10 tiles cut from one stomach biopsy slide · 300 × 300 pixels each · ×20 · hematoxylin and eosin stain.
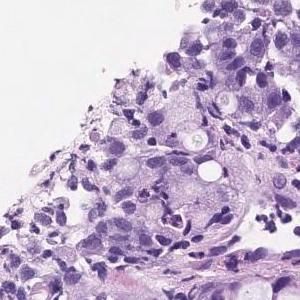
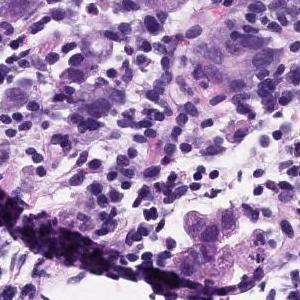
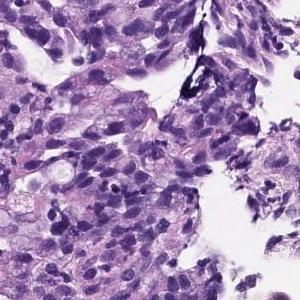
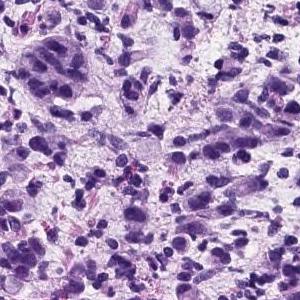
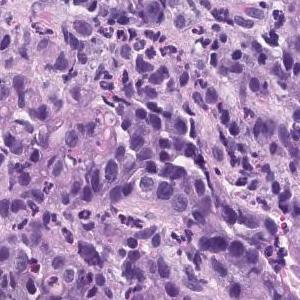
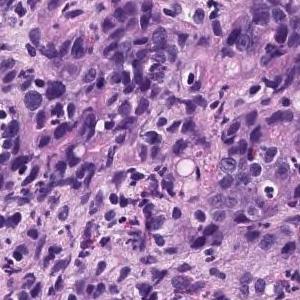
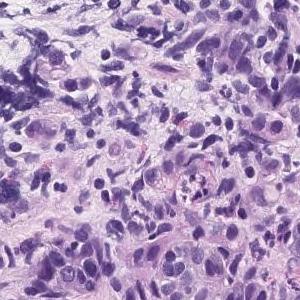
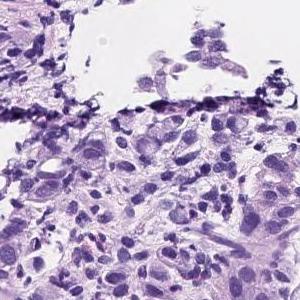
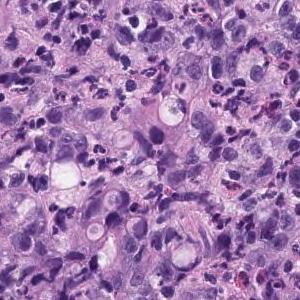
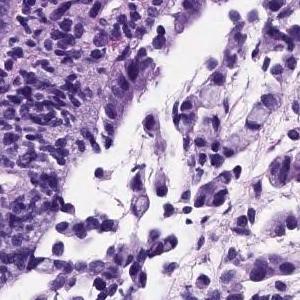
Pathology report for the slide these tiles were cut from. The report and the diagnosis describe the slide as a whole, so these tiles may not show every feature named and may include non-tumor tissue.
Diffusely growing signet-ring cells are found in the lamina propria. Signet ring cell carcinoma.
